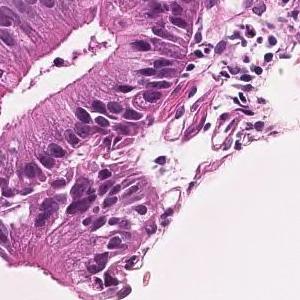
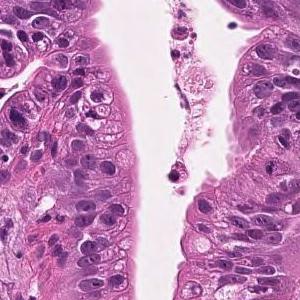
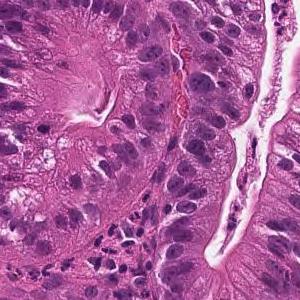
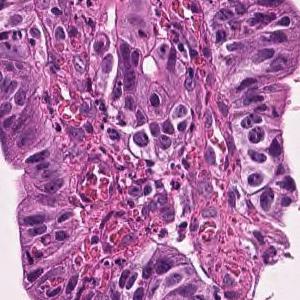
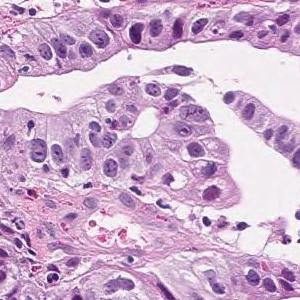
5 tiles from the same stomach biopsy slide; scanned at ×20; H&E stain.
The pathologist's report on the biopsy slide these tiles were taken from. Both the report and the diagnosis are for the whole slide: these tiles need not show every feature named, and some of the tissue shown may not be tumor.
Tumor cells are large, highly columnar, large club-shaped nuclei, and are associated with chromatin aggregation. Papillary adenocarcinoma.
